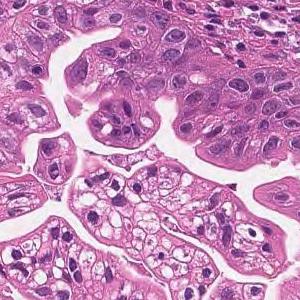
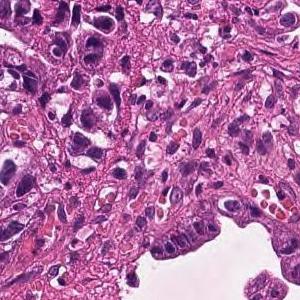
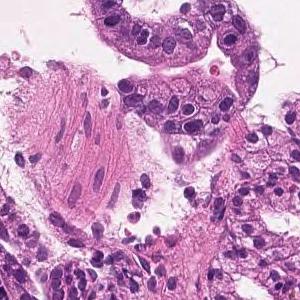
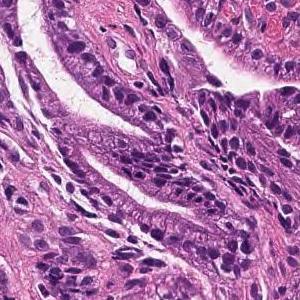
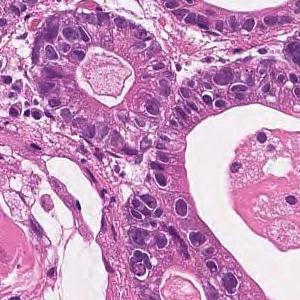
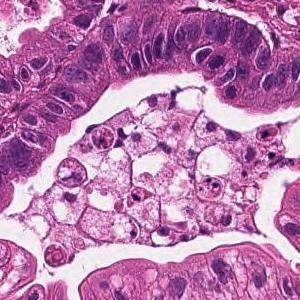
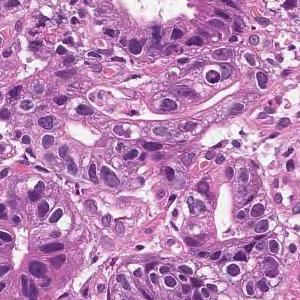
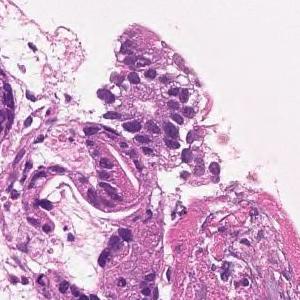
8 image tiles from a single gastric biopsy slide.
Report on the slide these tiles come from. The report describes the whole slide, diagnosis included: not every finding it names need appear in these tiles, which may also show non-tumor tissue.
In the superficial epithelium, tumor tissue that invades by forming medium-sized to small, irregular ducts is observed. Well differentiated tubular adenocarcinoma.
